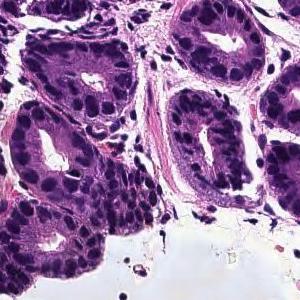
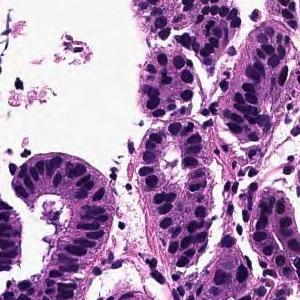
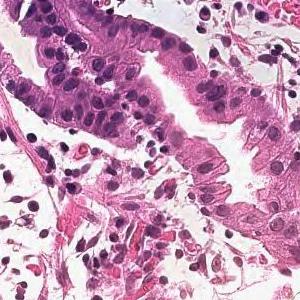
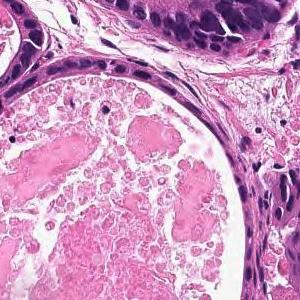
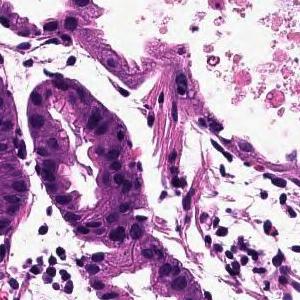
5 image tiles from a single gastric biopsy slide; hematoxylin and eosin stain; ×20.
The pathologist's report on the biopsy slide these tiles were taken from. Both the report and the diagnosis are for the whole slide: these tiles need not show every feature named, and some of the tissue shown may not be tumor.
From the superficial epithelium to the muscularis mucosae, tumor tissue consisting of medium-sized and irregular glandular ducts infiltrating is observed. Well differentiated tubular adenocarcinoma
